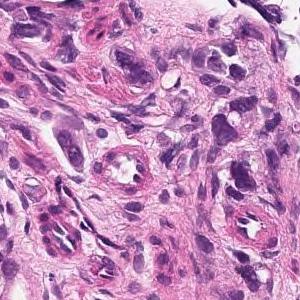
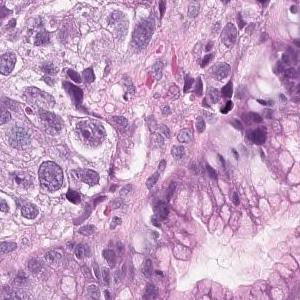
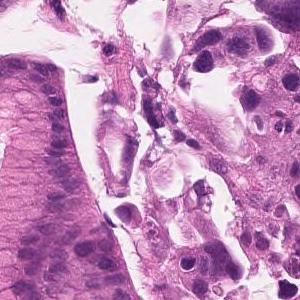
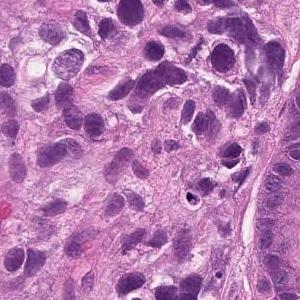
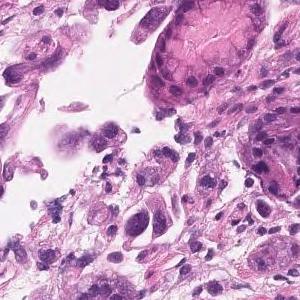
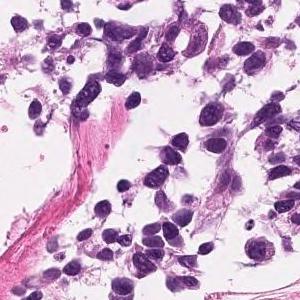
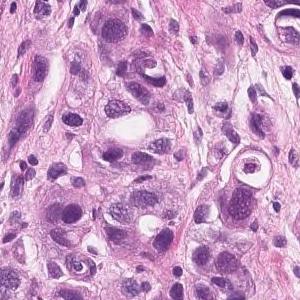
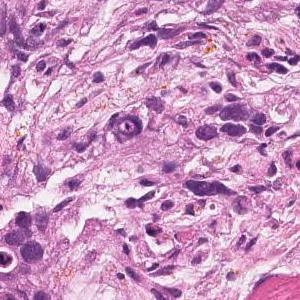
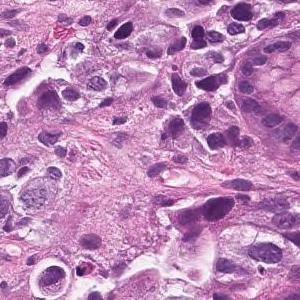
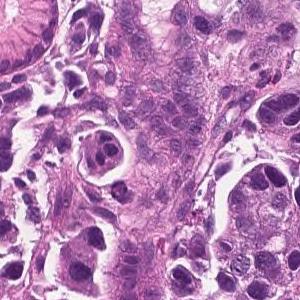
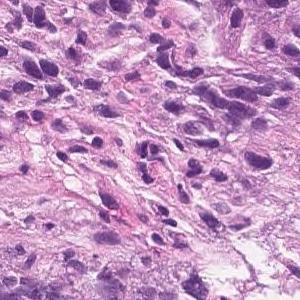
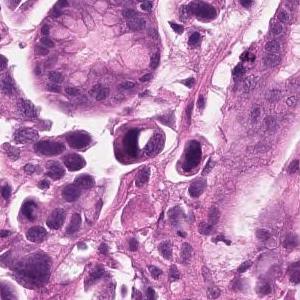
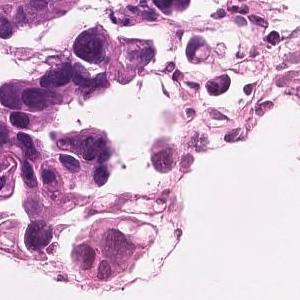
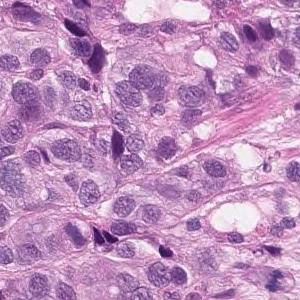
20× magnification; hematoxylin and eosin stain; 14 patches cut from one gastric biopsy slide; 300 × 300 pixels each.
The pathologist's report on the biopsy slide these tiles were taken from. The report and the diagnosis describe the slide as a whole, so these tiles may not show every feature named and may include non-tumor tissue.
Tumor tissue that infiltrates the epithelium in an alveolar manner. Poorly differentiated adenocarcinoma, solid-type
Classified as poorly differentiated adenocarcinoma, solid type. This name comes from the Japanese Classification of Gastric Carcinoma; the WHO 2019 classification calls it tubular adenocarcinoma, poorly differentiated.
